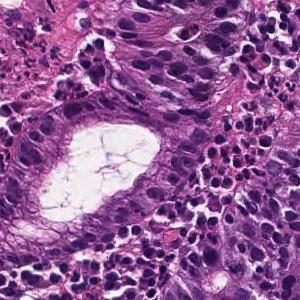
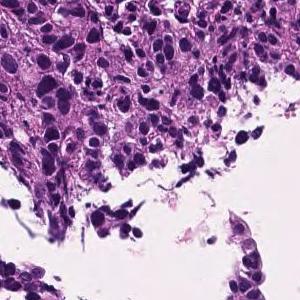
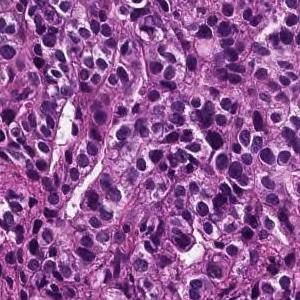
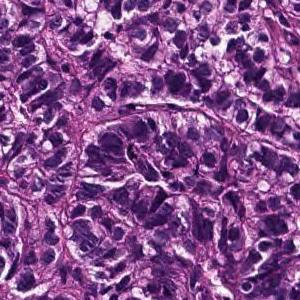
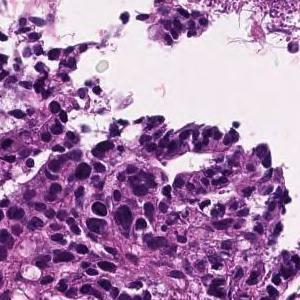
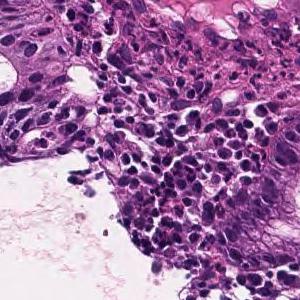
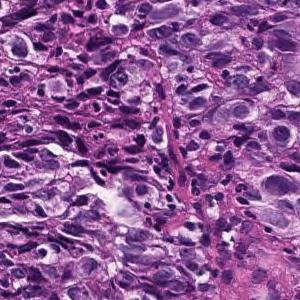
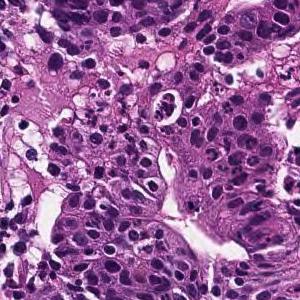
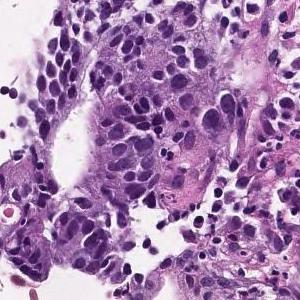
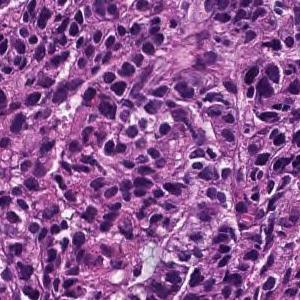
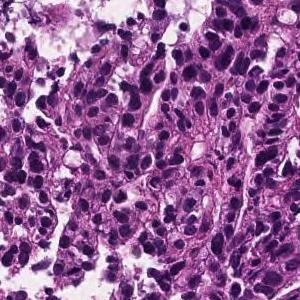
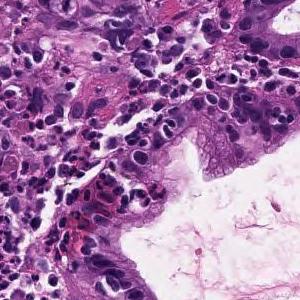
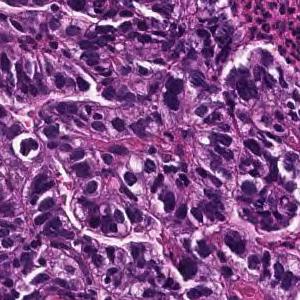
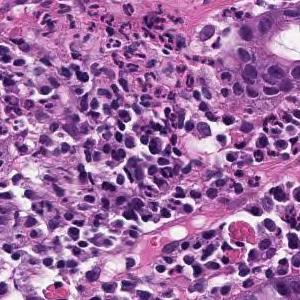
20× magnification; H&E stain; 14 patches cut from one gastric biopsy slide; 300 × 300 pixels each.
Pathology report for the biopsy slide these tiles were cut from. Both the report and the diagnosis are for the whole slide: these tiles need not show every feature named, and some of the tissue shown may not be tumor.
In the superficial epithelium, tumor tissue that invades by forming medium-sized to small, irregular ducts is observed. moderately differentiated tubular adenocarcinoma.
